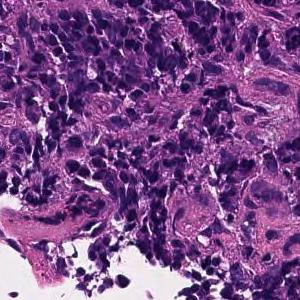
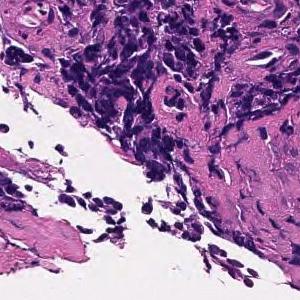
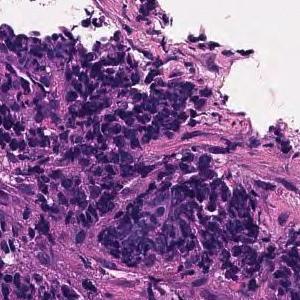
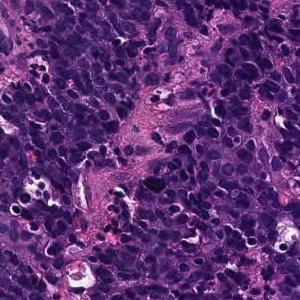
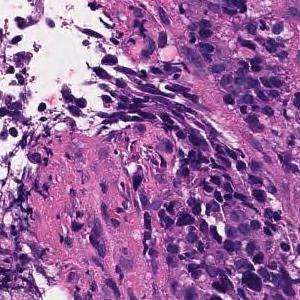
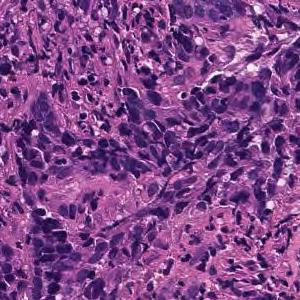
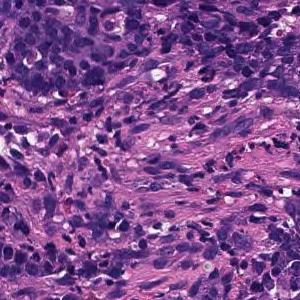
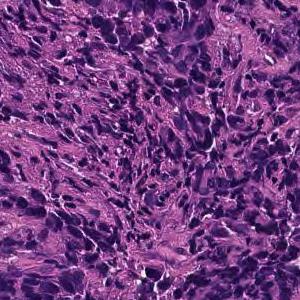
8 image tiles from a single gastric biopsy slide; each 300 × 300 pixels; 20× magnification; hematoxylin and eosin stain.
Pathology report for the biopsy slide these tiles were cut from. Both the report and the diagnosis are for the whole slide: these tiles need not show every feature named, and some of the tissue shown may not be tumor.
Tumor tissue consisting of cord-like or small, irregular glandular ducts fused and infiltrated is observed in the superficial epithelium. Poorly differentiated adenocarcinoma, non-solid type
The term "non-solid type" comes from the Japanese Classification of Gastric Carcinoma.
